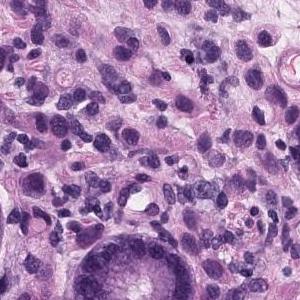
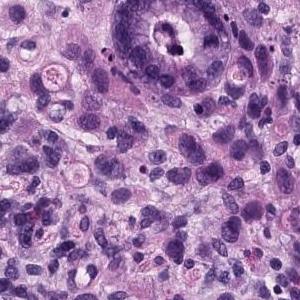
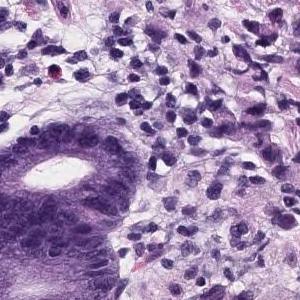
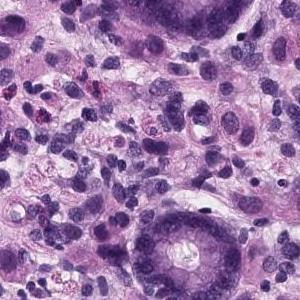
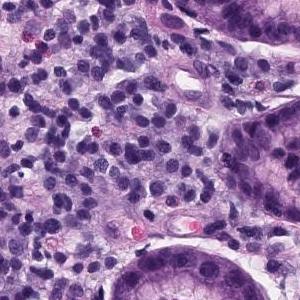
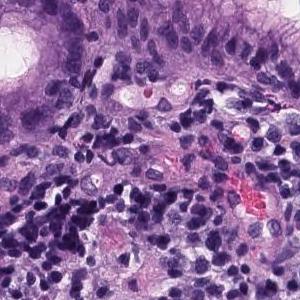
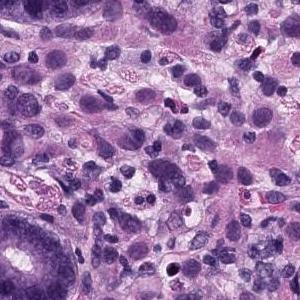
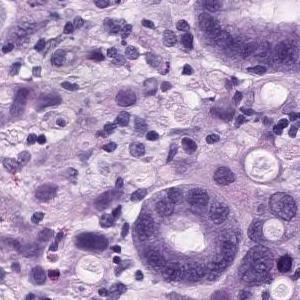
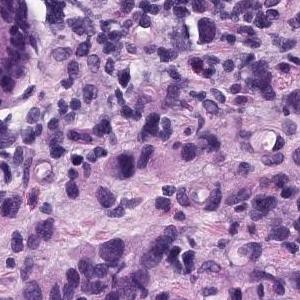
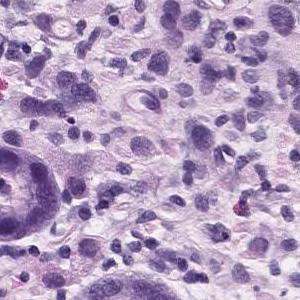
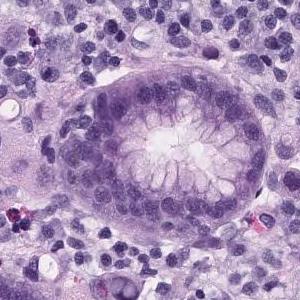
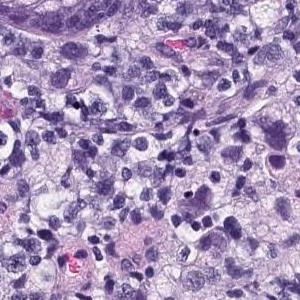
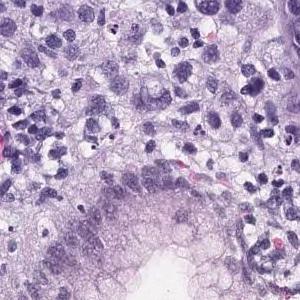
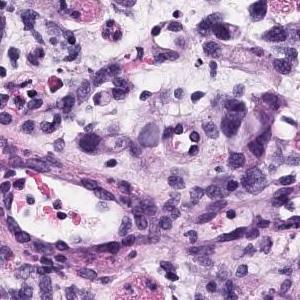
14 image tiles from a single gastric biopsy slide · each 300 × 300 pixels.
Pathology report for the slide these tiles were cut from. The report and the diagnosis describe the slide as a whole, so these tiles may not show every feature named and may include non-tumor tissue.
Group 5, Adenocarcinoma. Poorly differentiated adenocarcinoma, non-solid type
The non-solid type named here is a Japanese Classification of Gastric Carcinoma category.
